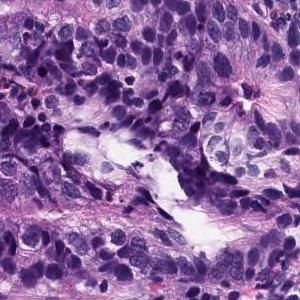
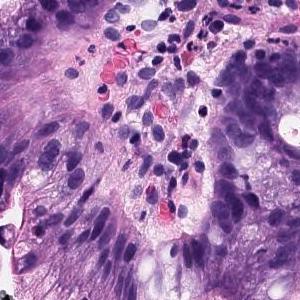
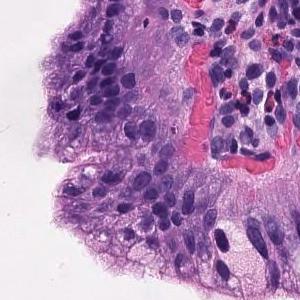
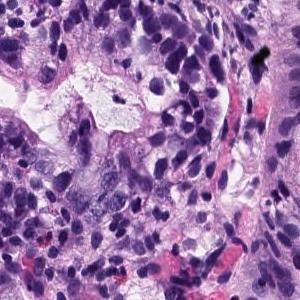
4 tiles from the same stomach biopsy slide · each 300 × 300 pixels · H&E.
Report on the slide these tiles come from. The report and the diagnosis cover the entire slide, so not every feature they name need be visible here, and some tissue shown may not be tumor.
Tumor cells with strong nuclear atypia proliferate invasively, forming small to medium-sized irregular shaped ducts. moderately differentiated tubular adenocarcinoma
